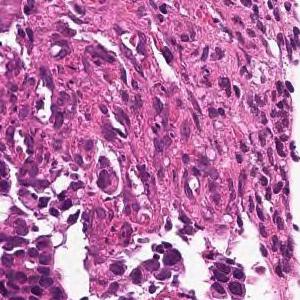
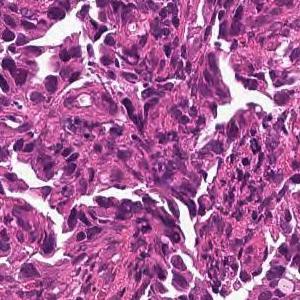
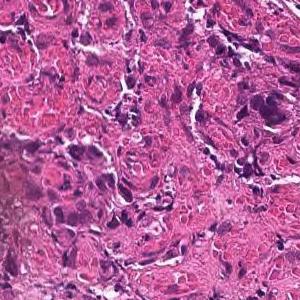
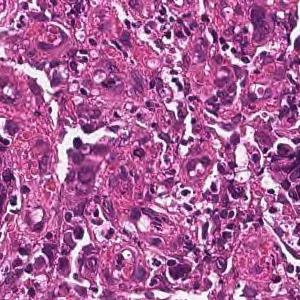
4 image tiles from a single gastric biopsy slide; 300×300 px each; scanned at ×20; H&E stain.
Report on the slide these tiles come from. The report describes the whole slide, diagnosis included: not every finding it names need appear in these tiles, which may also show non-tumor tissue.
Tumor tissue consisting of medium-sized, cord-like or irregular glandular infiltration is observed in the superficial epithelium. Poorly differentiated adenocarcinoma, non-solid type or moderately differentiated tubular adenocarcinoma
Histological subtype: Moderately to poorly differentiated adenocarcinoma.
"Non-solid type" is a category of the Japanese Classification of Gastric Carcinoma.
